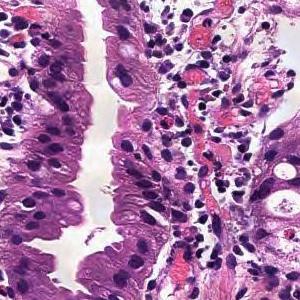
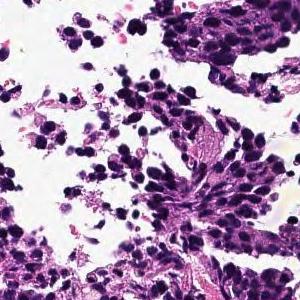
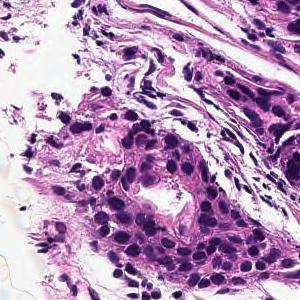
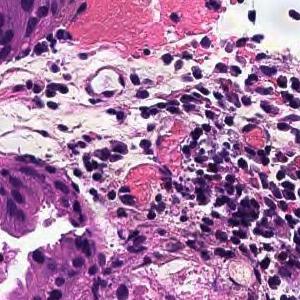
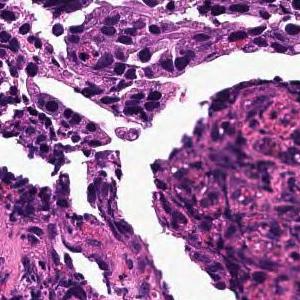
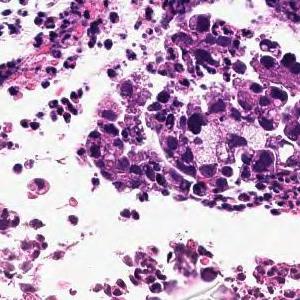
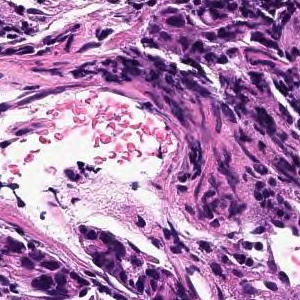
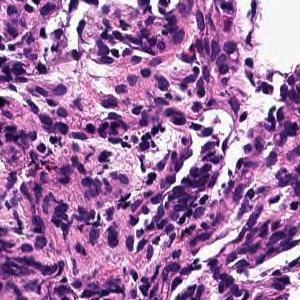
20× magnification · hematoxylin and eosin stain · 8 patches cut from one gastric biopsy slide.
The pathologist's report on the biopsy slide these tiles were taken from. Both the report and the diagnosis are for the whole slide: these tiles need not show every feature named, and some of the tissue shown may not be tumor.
In the superficial epithelium, tumor tissue that invades by forming medium-sized to small, irregular ducts is observed. moderately differentiated tubular adenocarcinoma.
